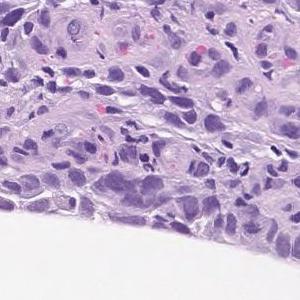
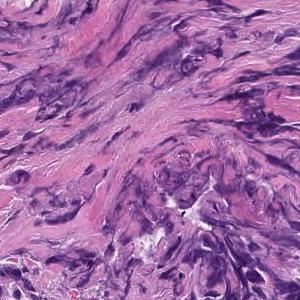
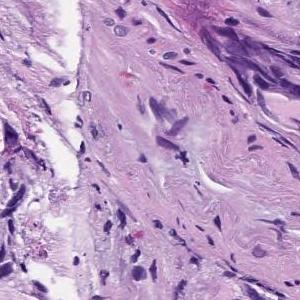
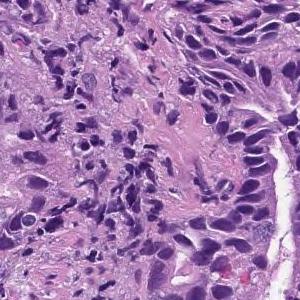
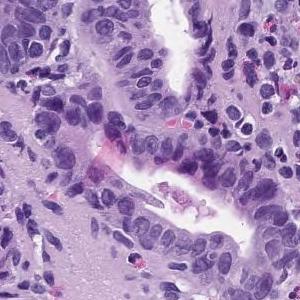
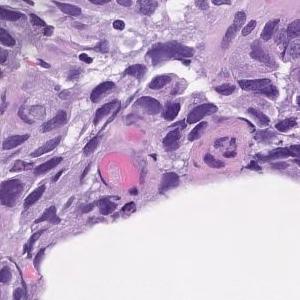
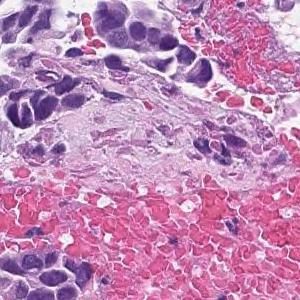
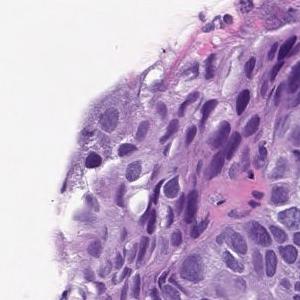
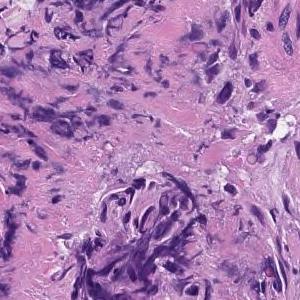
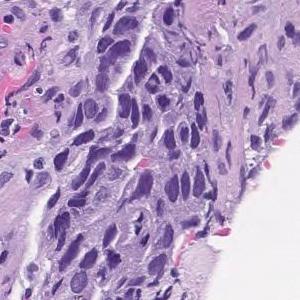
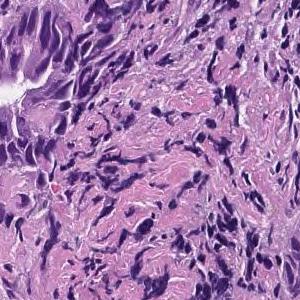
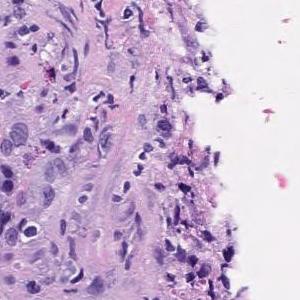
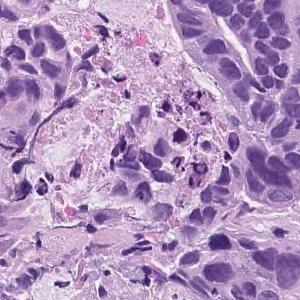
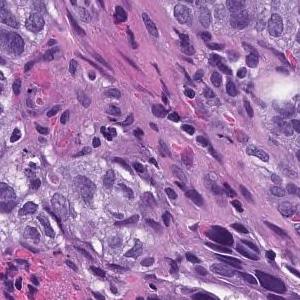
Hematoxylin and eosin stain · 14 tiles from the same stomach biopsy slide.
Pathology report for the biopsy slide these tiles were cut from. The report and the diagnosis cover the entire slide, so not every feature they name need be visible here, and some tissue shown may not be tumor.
In the superficial epithelium, tumor tissue that invades by forming medium-sized to small, irregular ducts is observed. moderately differentiated tubular adenocarcinoma.
